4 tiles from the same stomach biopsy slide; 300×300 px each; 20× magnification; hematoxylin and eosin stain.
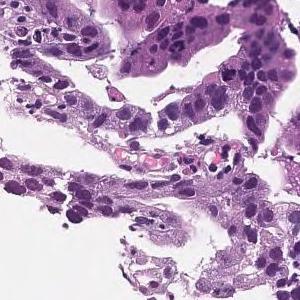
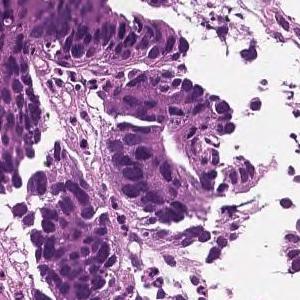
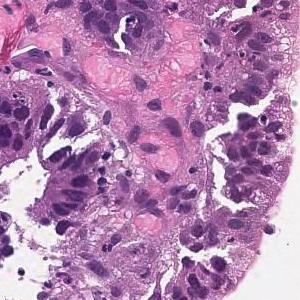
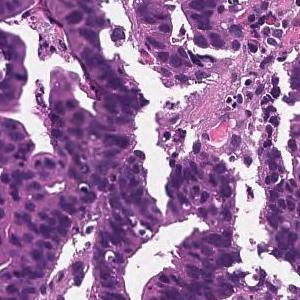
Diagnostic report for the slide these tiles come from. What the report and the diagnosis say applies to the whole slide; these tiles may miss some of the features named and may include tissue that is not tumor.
In the superficial epithelium, tumor tissue that invades by forming medium-sized to small, irregular ducts is observed. moderately differentiated tubular adenocarcinoma.
